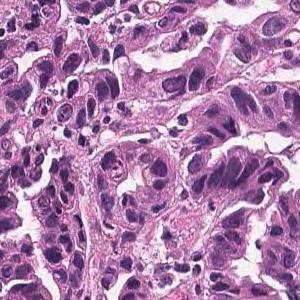
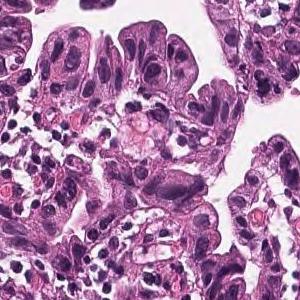
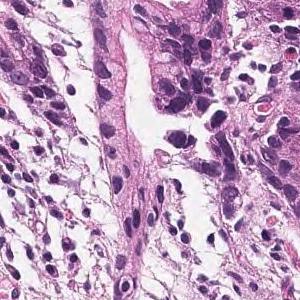
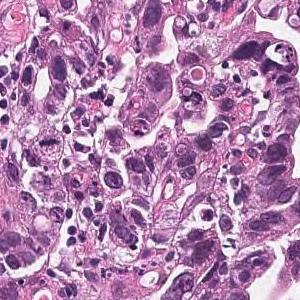
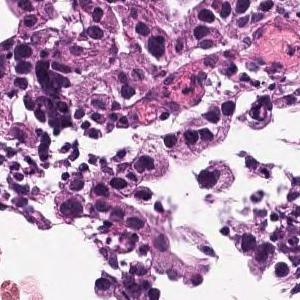
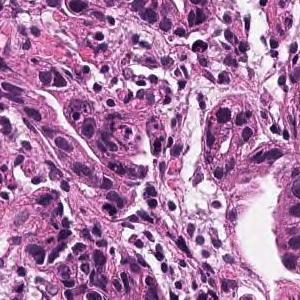
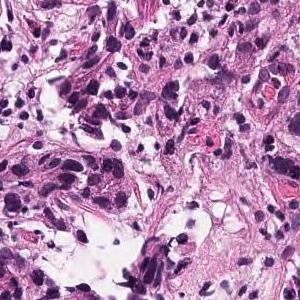
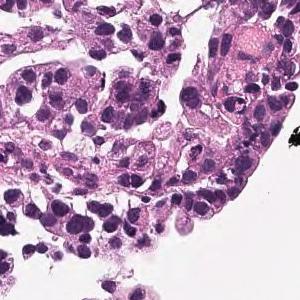
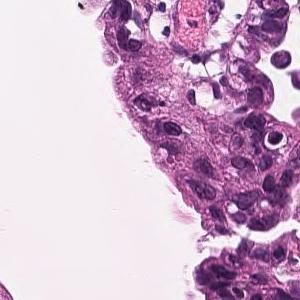
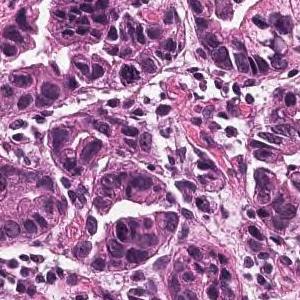
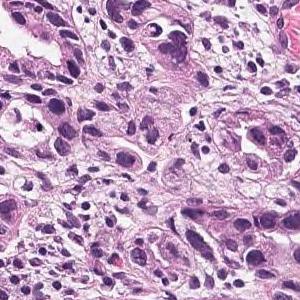
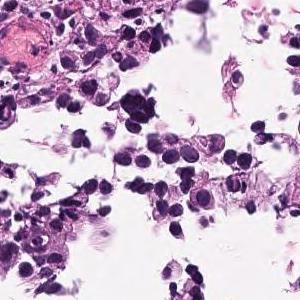
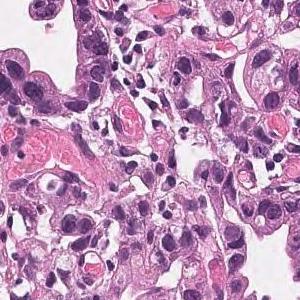
13 tiles from the same stomach biopsy slide; 300 × 300 pixels each; scanned at ×20.
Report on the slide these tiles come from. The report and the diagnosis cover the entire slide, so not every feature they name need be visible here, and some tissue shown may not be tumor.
Medium to small, irregular glandular ducts are formed in the superficial epithelium, and in some cases, the glandular ducts are fused to show solid alveolar lesions and infiltrating tumor tissue is observed. Moderately to poorly differentiated adenocarcinoma.
